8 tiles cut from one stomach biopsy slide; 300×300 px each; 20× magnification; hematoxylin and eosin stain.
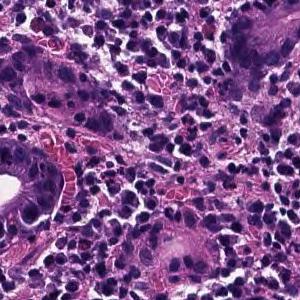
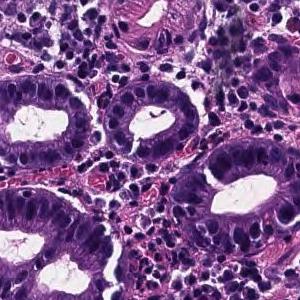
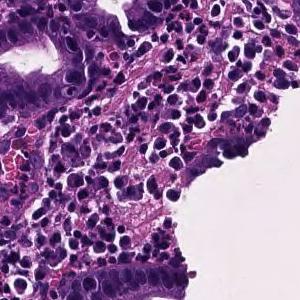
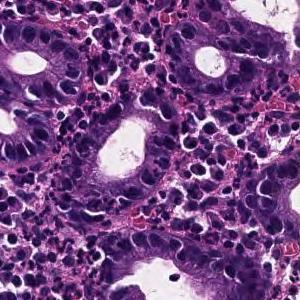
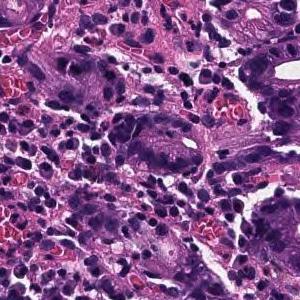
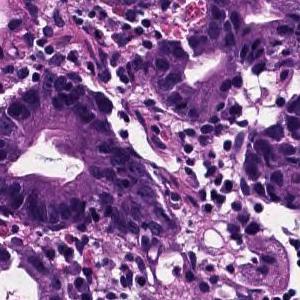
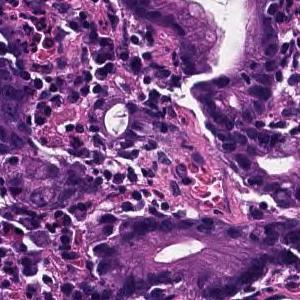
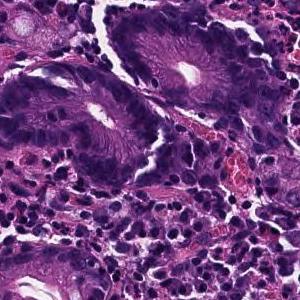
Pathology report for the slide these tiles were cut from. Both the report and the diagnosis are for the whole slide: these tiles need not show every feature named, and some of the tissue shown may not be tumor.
In the superficial epithelium, tumor tissue that invades by forming medium-sized to small, irregular ducts is observed. moderately differentiated tubular adenocarcinoma.
